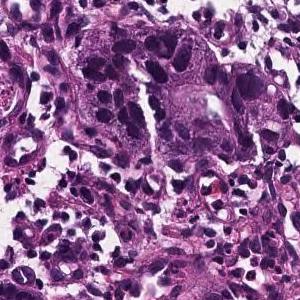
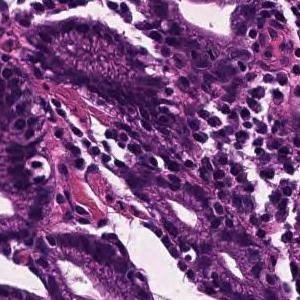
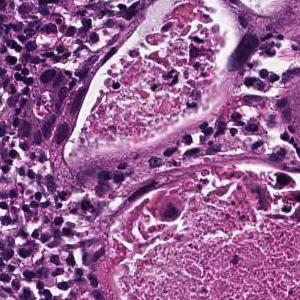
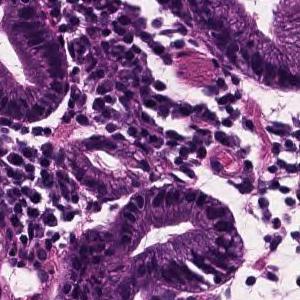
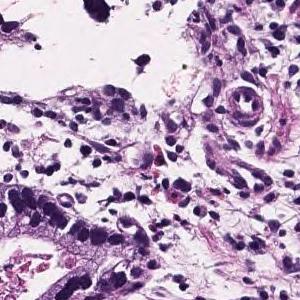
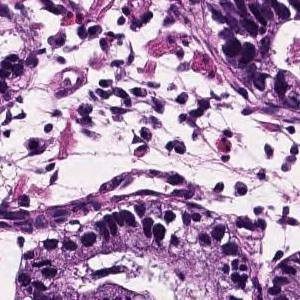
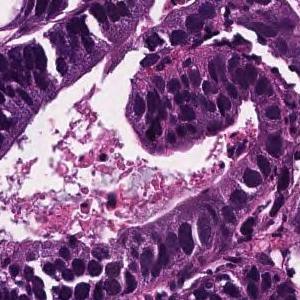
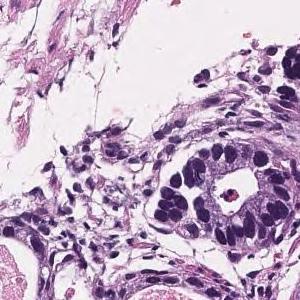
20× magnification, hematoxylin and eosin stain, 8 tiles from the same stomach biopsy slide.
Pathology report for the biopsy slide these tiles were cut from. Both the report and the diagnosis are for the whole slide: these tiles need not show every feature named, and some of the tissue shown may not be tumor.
In the superficial epithelium, tumor tissue that invades by forming medium-sized to small, irregular ducts is observed. Well differentiated tubular adenocarcinoma.
